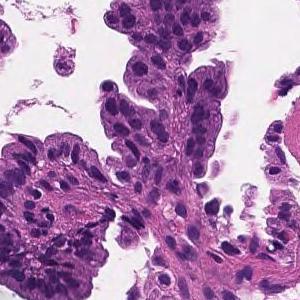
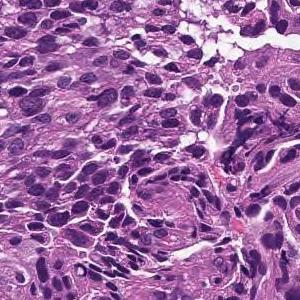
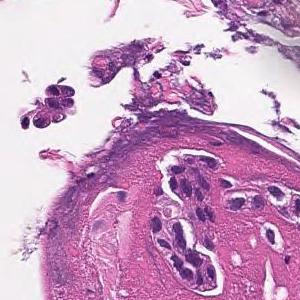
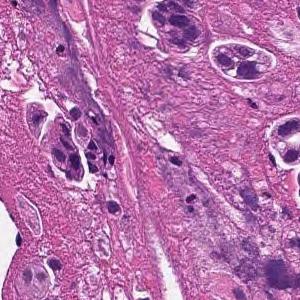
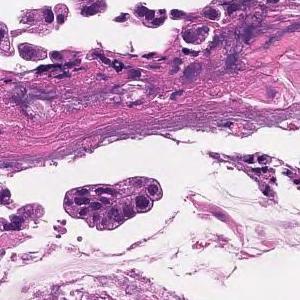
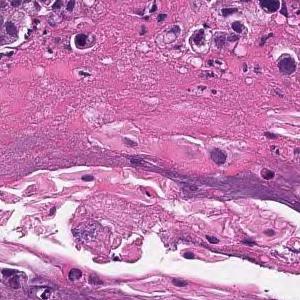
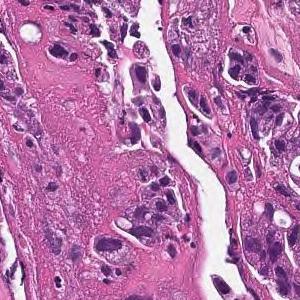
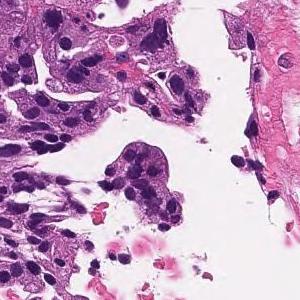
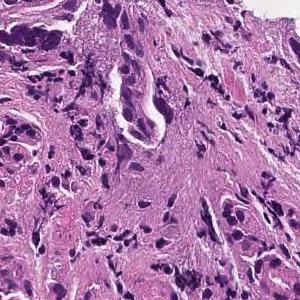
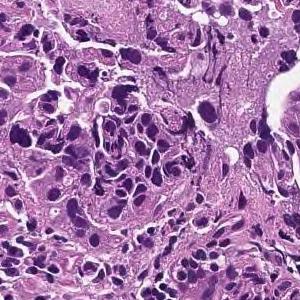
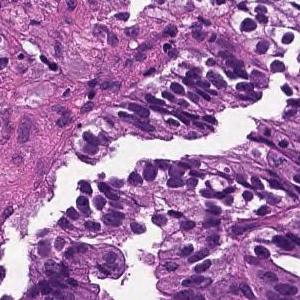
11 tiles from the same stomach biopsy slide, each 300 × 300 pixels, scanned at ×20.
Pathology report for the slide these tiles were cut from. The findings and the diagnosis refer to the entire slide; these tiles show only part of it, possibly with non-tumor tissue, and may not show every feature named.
Medium to small, irregular glandular ducts are formed in the superficial epithelium, and in some cases, the glandular ducts are fused to show solid alveolar lesions and infiltrating tumor tissue is observed. Moderately to poorly differentiated adenocarcinoma.
